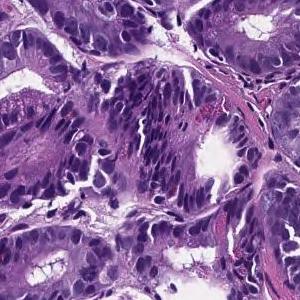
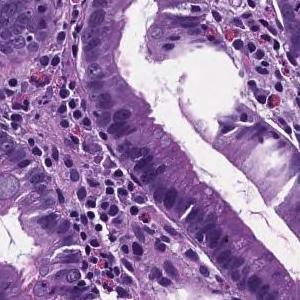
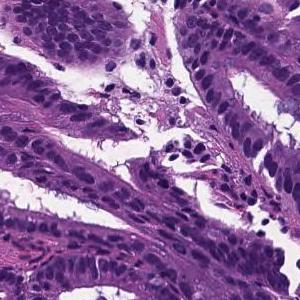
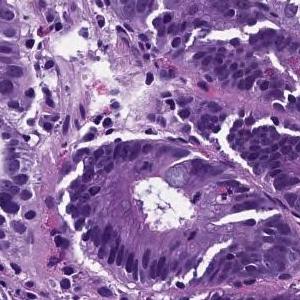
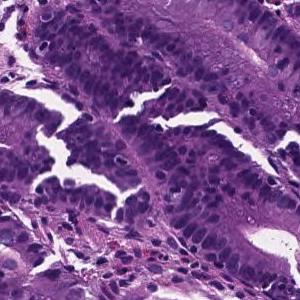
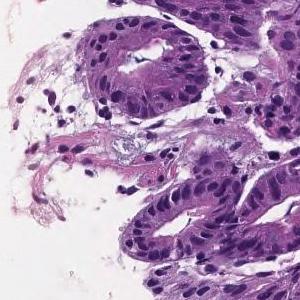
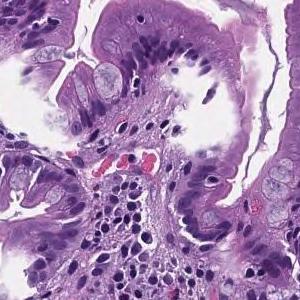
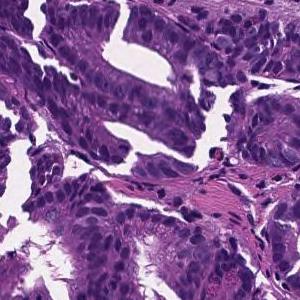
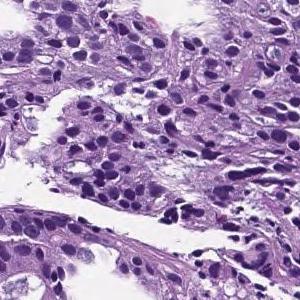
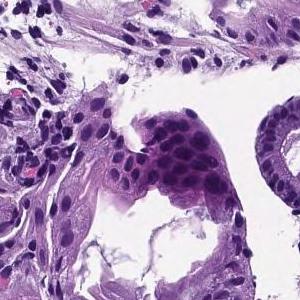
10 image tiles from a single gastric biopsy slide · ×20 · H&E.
Pathology report for the biopsy slide these tiles were cut from. The findings and the diagnosis refer to the entire slide; these tiles show only part of it, possibly with non-tumor tissue, and may not show every feature named.
In the superficial epithelium, tumor tissue that invades by forming medium-sized to small, irregular ducts is observed. moderately differentiated tubular adenocarcinoma.
